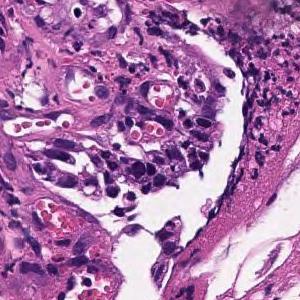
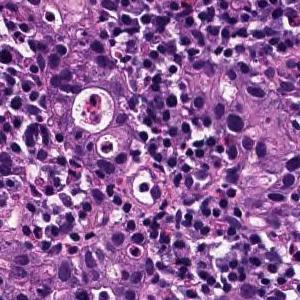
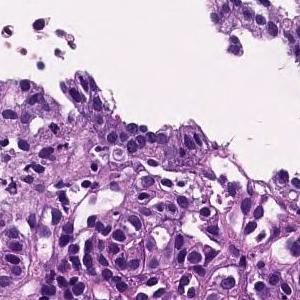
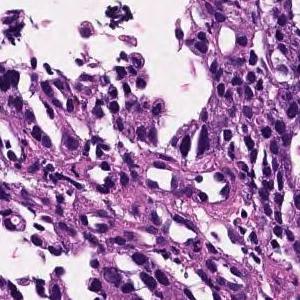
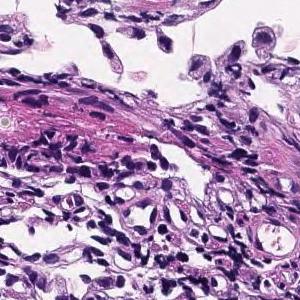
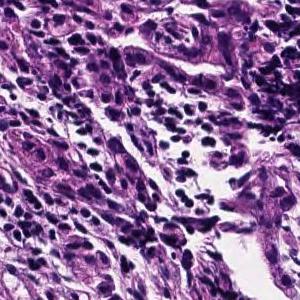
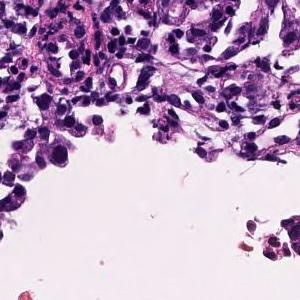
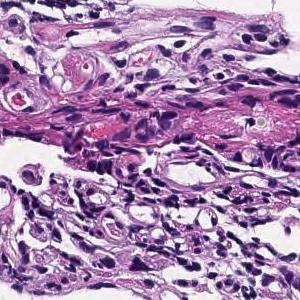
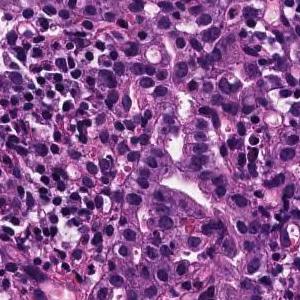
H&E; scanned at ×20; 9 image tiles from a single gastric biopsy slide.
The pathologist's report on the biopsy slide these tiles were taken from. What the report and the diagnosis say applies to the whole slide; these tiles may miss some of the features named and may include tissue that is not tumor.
Medium to small, irregular glandular ducts are formed in the superficial epithelium, and in some cases, the glandular ducts are fused to show solid alveolar lesions and infiltrating tumor tissue is observed. Moderately to poorly differentiated adenocarcinoma.
